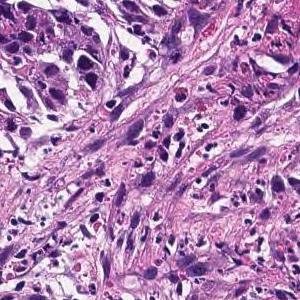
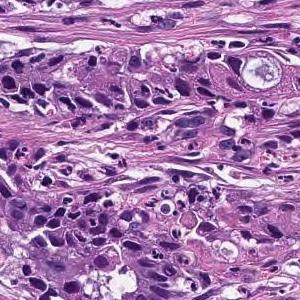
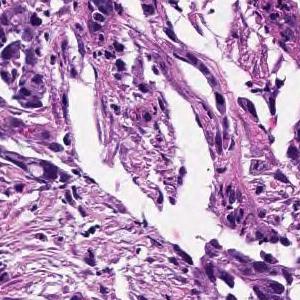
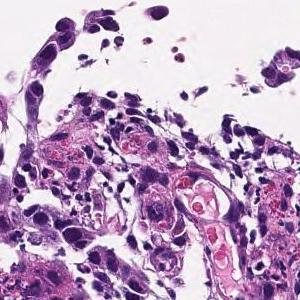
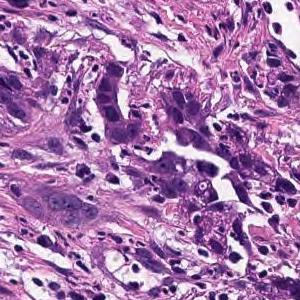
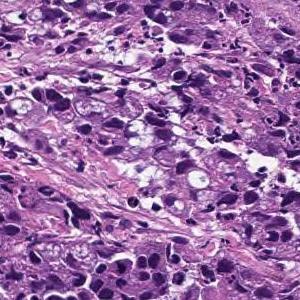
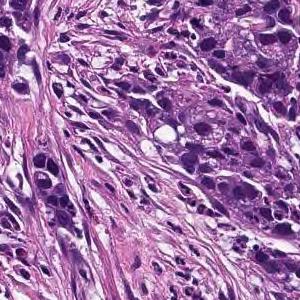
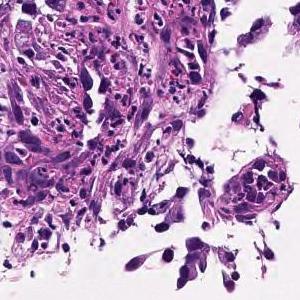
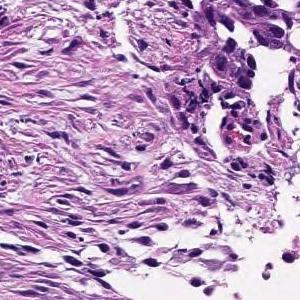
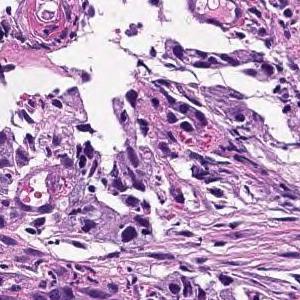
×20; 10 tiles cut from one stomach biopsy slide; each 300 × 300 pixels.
Pathology report for the biopsy slide these tiles were cut from. Both the report and the diagnosis are for the whole slide: these tiles need not show every feature named, and some of the tissue shown may not be tumor.
Medium to small, irregular glandular ducts are formed in the superficial epithelium, and in some cases, the glandular ducts are fused to show solid alveolar lesions and infiltrating tumor tissue is observed. Moderately to poorly differentiated adenocarcinoma.
